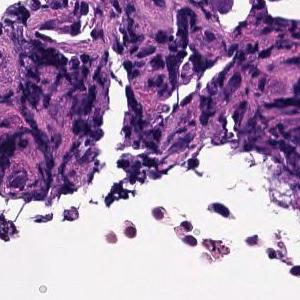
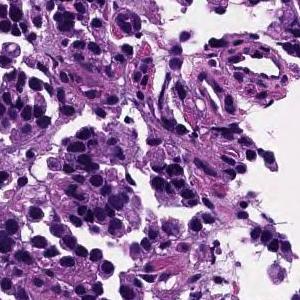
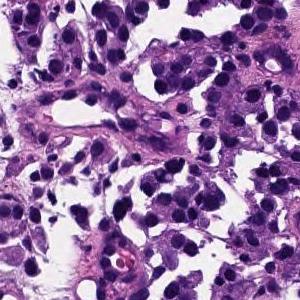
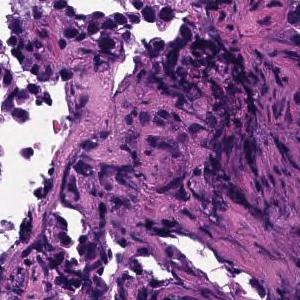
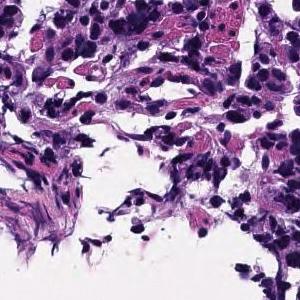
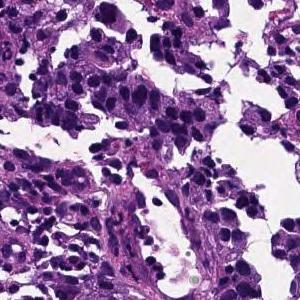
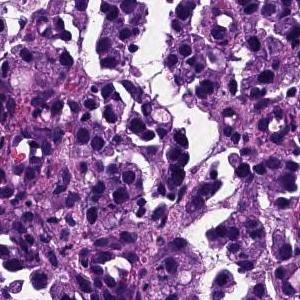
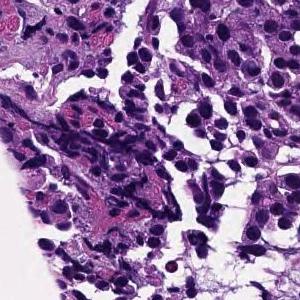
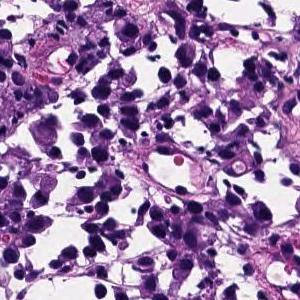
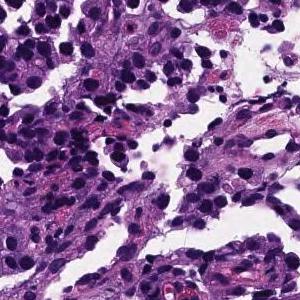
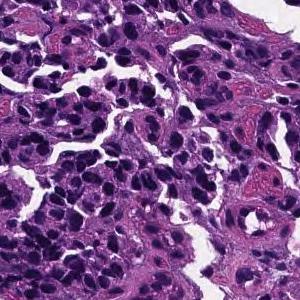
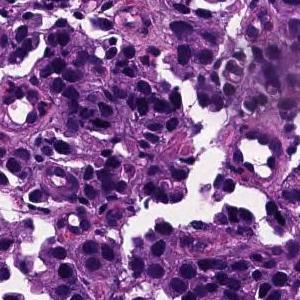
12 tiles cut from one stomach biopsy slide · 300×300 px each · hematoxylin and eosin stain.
Pathology report for the slide these tiles were cut from. The report and the diagnosis cover the entire slide, so not every feature they name need be visible here, and some tissue shown may not be tumor.
The superficial epithelium shows a large alveolar shape and infiltrates tumor tissue. Poorly differentiated adenocarcinoma, solid-type
Tumor subtype: poorly differentiated adenocarcinoma, solid type, a category of the Japanese Classification of Gastric Carcinoma; in the WHO 2019 classification it is tubular adenocarcinoma, poorly differentiated.
